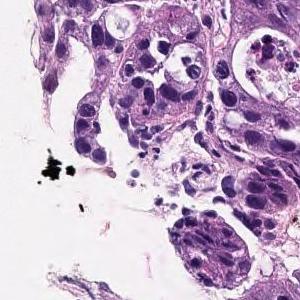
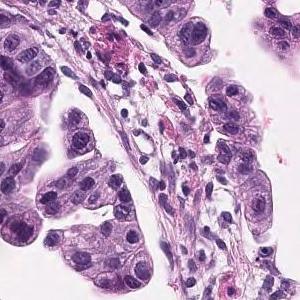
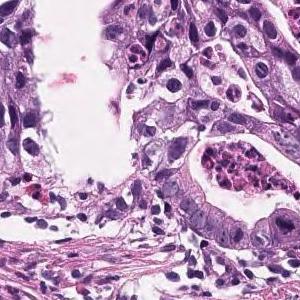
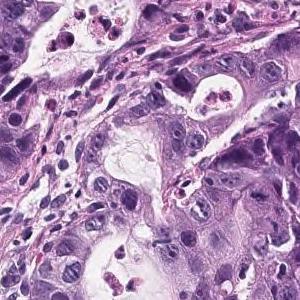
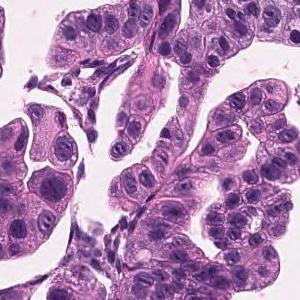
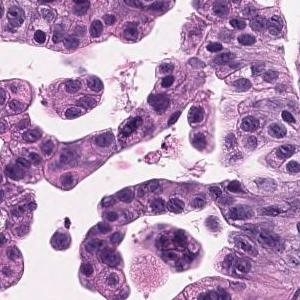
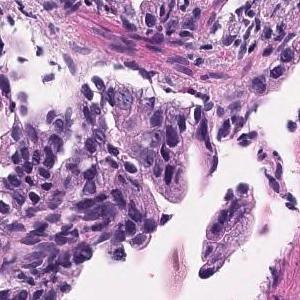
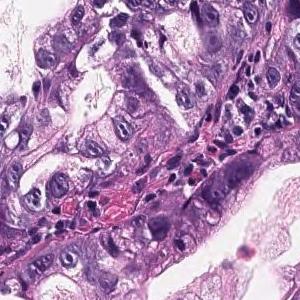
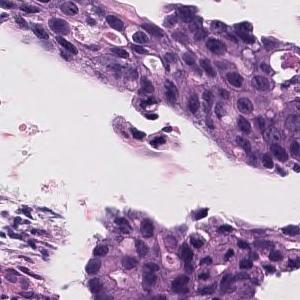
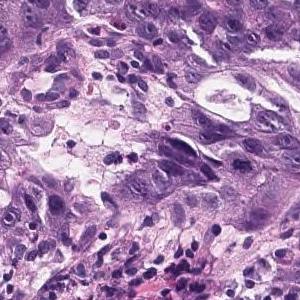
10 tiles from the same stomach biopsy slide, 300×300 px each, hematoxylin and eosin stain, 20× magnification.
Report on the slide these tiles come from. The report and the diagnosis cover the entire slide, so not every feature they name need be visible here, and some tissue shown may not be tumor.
Tumor cells are large, highly columnar, large club-shaped nuclei, and are associated with chromatin aggregation. Papillary adenocarcinoma.
